4 patches cut from one gastric biopsy slide.
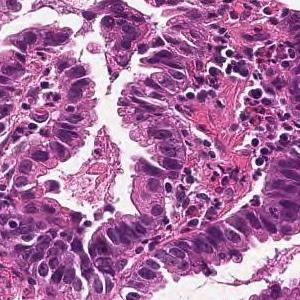
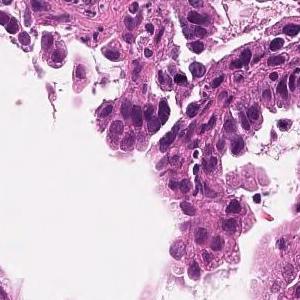
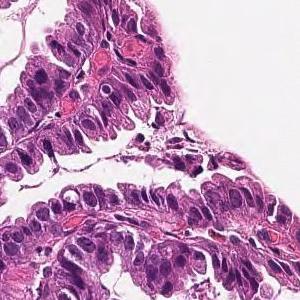
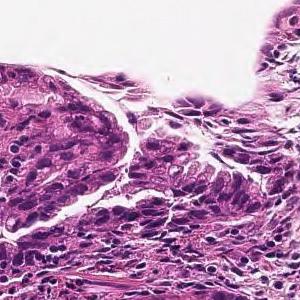
Pathology report for the slide these tiles were cut from. Both the report and the diagnosis are for the whole slide: these tiles need not show every feature named, and some of the tissue shown may not be tumor.
From the superficial epithelium to the muscularis mucosae, tumor tissue consisting of medium-sized and irregular glandular ducts infiltrating is observed. Well differentiated tubular adenocarcinoma
